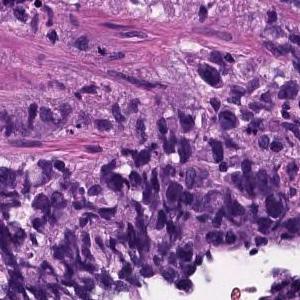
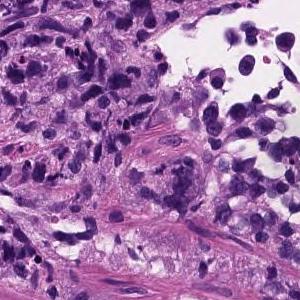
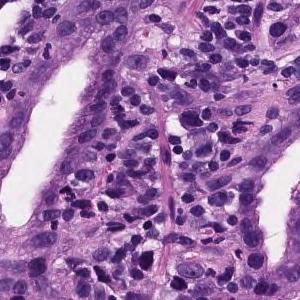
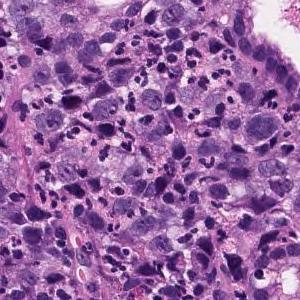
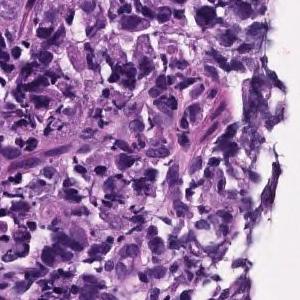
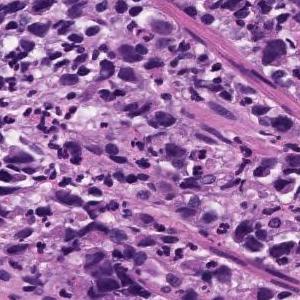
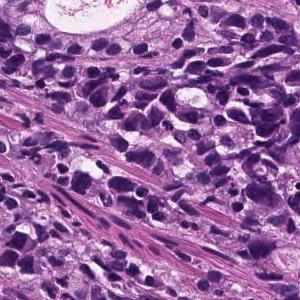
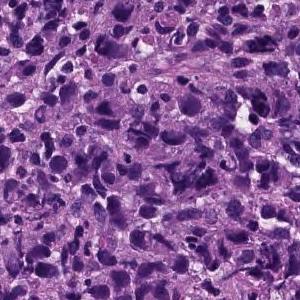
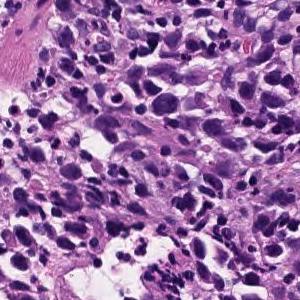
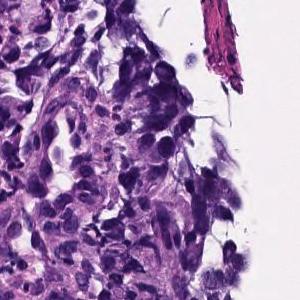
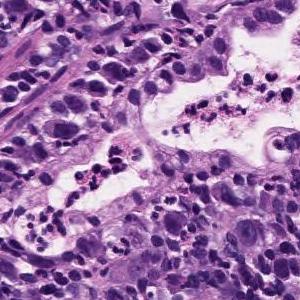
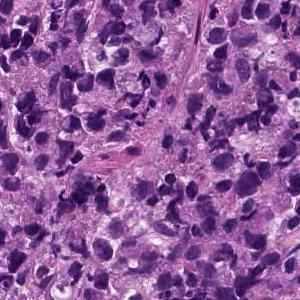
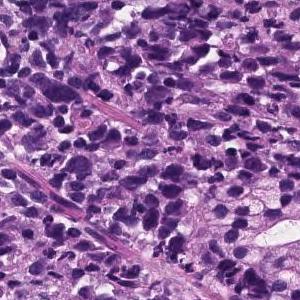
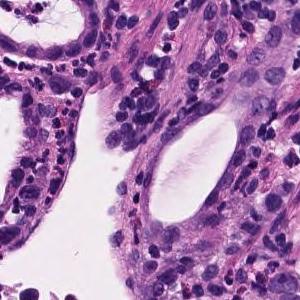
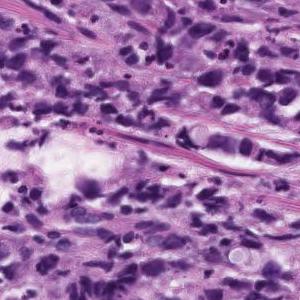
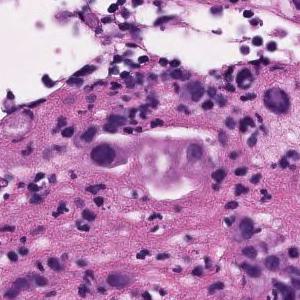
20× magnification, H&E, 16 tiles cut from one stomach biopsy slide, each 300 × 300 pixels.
The pathologist's report on the biopsy slide these tiles were taken from. The report describes the whole slide, diagnosis included: not every finding it names need appear in these tiles, which may also show non-tumor tissue.
Poorly differentiated, solid adenocarcinoma (poorly differentiated adenocarcinoma, solid type) with tumor tissue diffusely infiltrated with atypical epithelial cells
Histologic type: Poorly differentiated adenocarcinoma, solid type. This name comes from the Japanese Classification of Gastric Carcinoma; the WHO 2019 classification calls it tubular adenocarcinoma, poorly differentiated.
